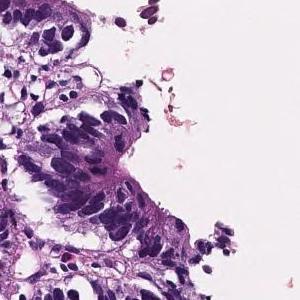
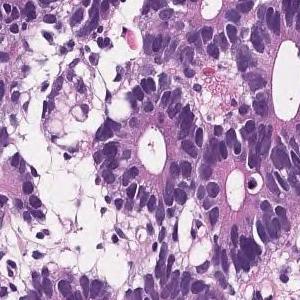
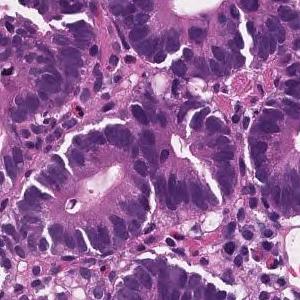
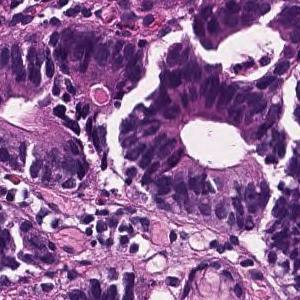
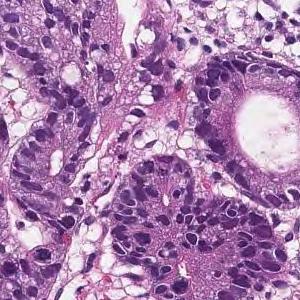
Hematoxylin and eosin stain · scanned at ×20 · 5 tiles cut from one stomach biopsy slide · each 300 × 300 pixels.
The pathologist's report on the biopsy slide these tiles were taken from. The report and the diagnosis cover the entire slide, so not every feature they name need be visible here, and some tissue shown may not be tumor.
On the superficial epithelium, tumor tissue consisting of large, irregular glandular ducts partially fused and infiltrated is observed. Well to moderately differentiated tubular adenocarcinoma (well differentiated tubular adenocarcinoma, moderately differentiated tubular adenocarcinoma)
Classified as well to moderately differentiated tubular adenocarcinoma.
